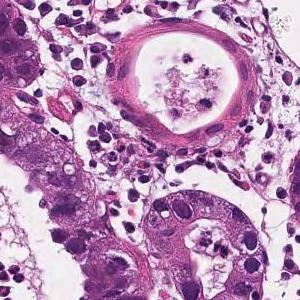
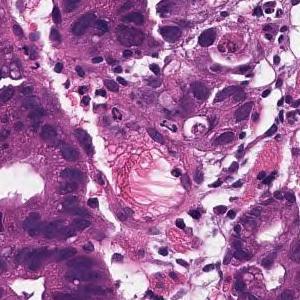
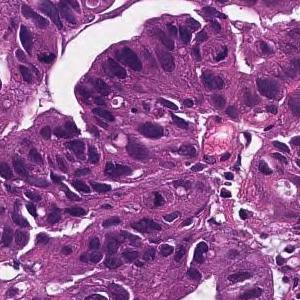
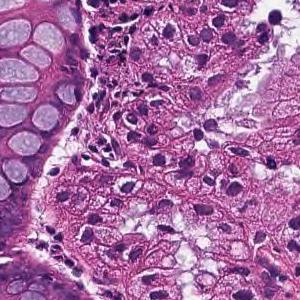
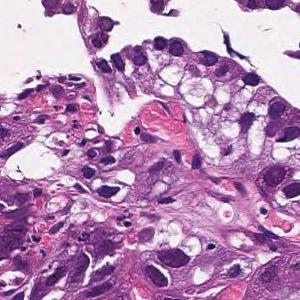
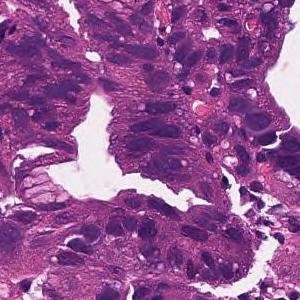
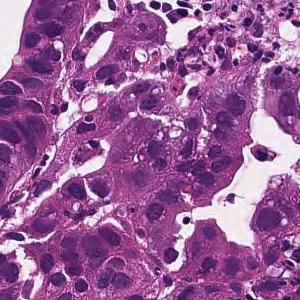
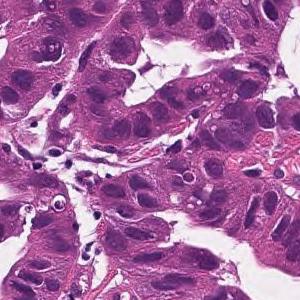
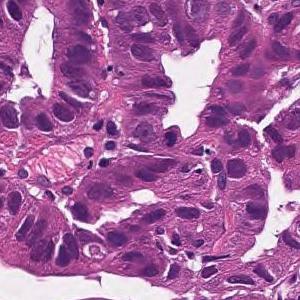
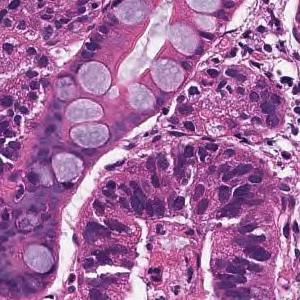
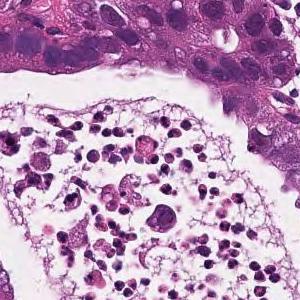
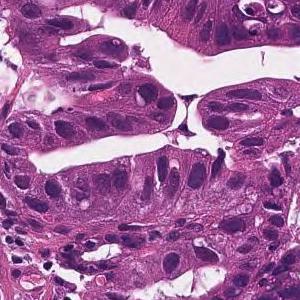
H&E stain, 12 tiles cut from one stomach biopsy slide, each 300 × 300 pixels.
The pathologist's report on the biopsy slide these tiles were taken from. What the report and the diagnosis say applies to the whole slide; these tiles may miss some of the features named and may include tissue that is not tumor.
In the superficial epithelium, tumor tissue that invades by forming medium-sized to small, irregular ducts is observed. moderately differentiated tubular adenocarcinoma.
